H&E stain; 7 tiles cut from one stomach biopsy slide.
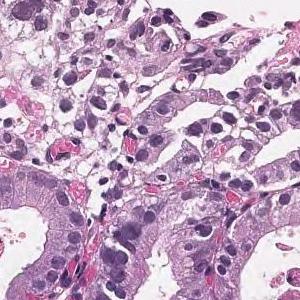
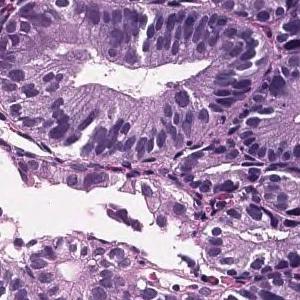
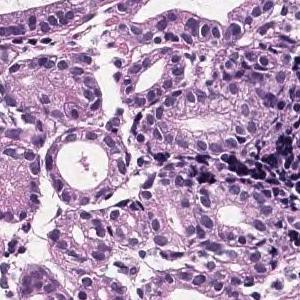
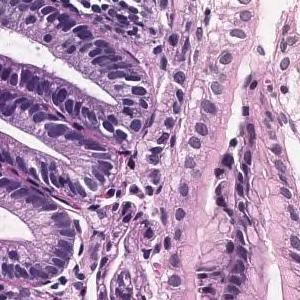
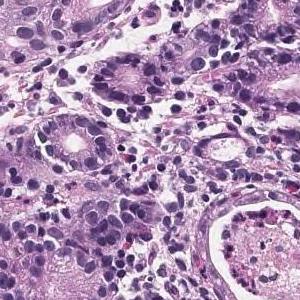
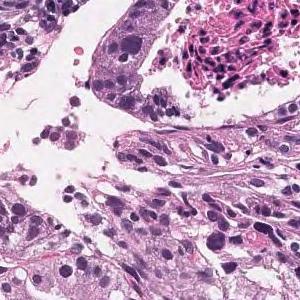
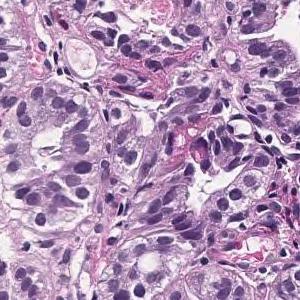
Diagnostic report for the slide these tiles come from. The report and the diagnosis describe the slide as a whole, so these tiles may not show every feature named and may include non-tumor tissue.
Tumor tissue forming round ducts of different sizes is observed, and cells that have fallen into apoptosis are observed in some ducts. Well differentiated tubular adenocarcinoma
